Hematoxylin and eosin stain; 10 image tiles from a single gastric biopsy slide; 300×300 px each.
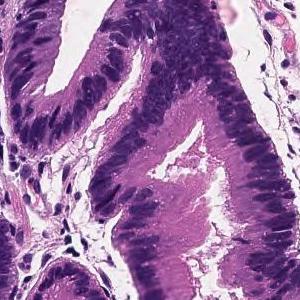
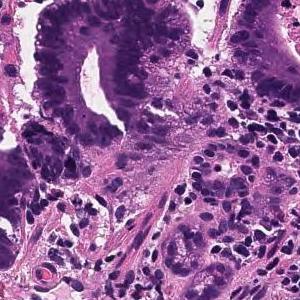
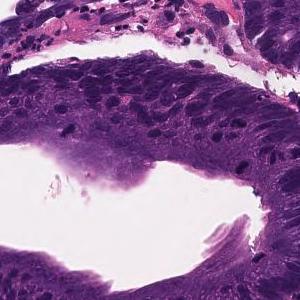
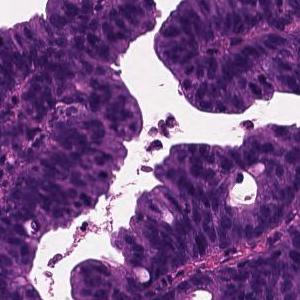
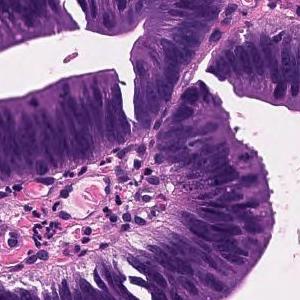
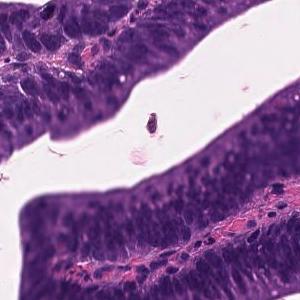
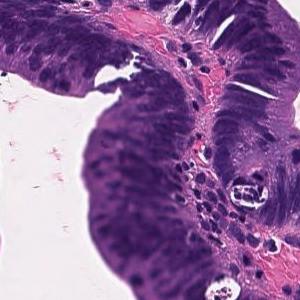
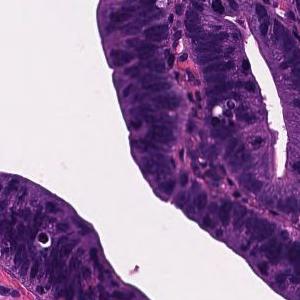
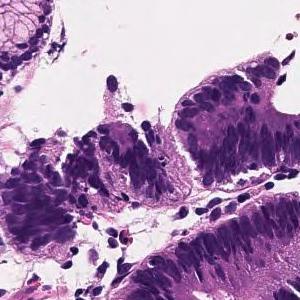
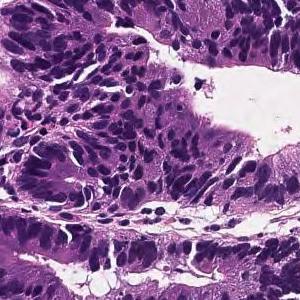
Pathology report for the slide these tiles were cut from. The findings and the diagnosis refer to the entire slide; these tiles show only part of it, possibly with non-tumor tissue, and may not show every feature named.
Tumor tissue consisting of large papillary structures is found in the superficial epithelium. Papillary adenocarcinoma.
